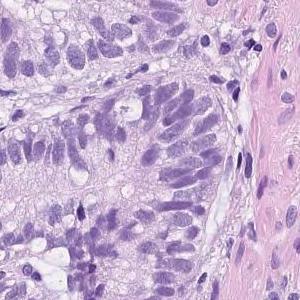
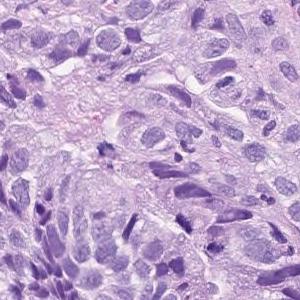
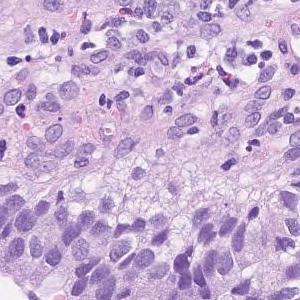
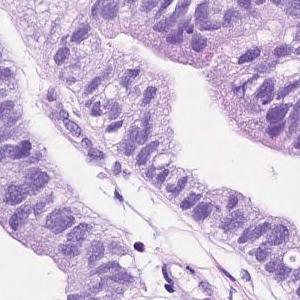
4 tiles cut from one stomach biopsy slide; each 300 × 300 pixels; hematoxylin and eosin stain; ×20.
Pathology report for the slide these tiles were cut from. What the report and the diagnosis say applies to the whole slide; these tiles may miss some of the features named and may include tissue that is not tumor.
Atypical l cells with atypical nuclei forming solid or diffuse vesicles or small irregular atypical ducts and growing in a complex manner. moderately differentiated tubular adenocarcinoma
